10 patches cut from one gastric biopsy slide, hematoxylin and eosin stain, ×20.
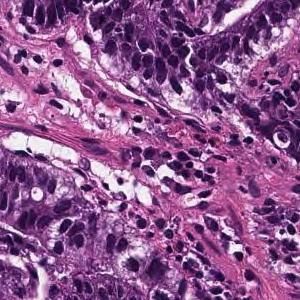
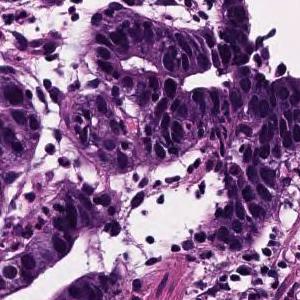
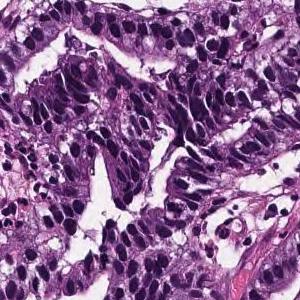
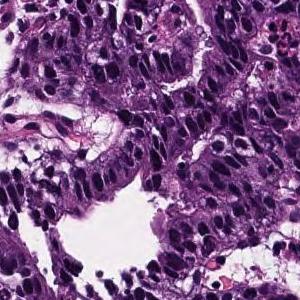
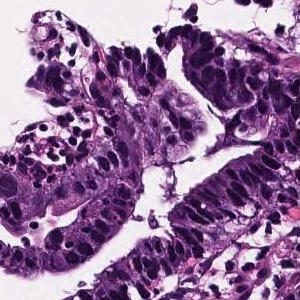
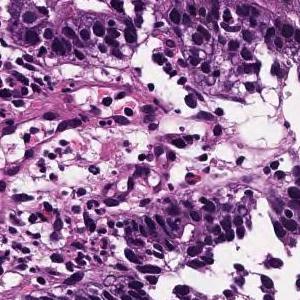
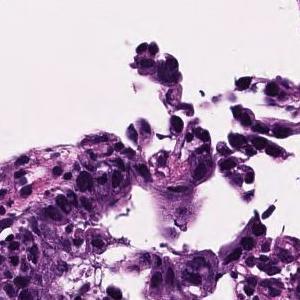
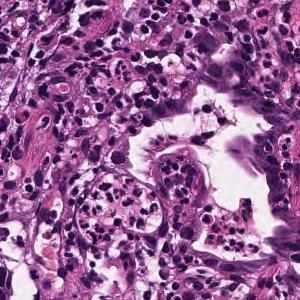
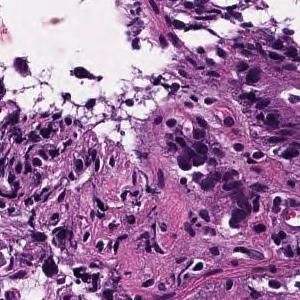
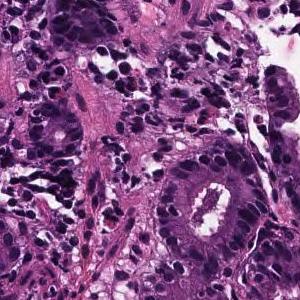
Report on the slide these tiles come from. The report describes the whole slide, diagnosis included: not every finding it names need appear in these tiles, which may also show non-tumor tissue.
Atypical l cells with atypical nuclei forming diffuse or small irregular atypical ducts and growing. Moderately to poorly differentiated adenocarcinoma (poorly differentiated adenocarcinoma, solid type moderately differentiated tubular adenocarcinoma)
Subtype: Moderately to poorly differentiated adenocarcinoma.
The term "solid type" comes from the Japanese Classification of Gastric Carcinoma; the WHO 2019 equivalent is tubular adenocarcinoma, poorly differentiated.
